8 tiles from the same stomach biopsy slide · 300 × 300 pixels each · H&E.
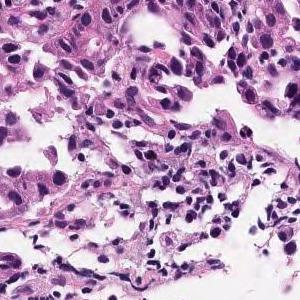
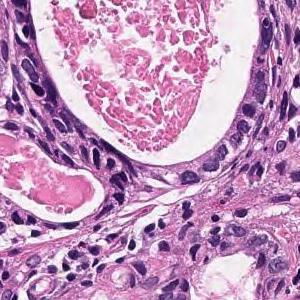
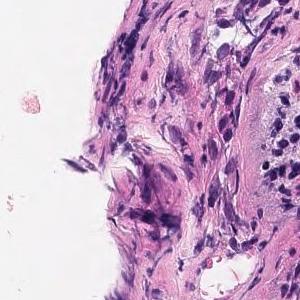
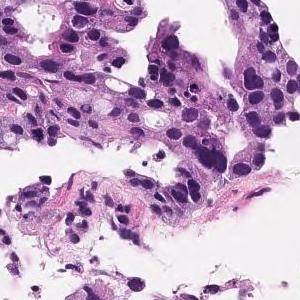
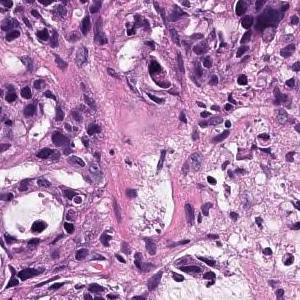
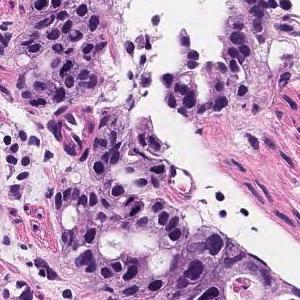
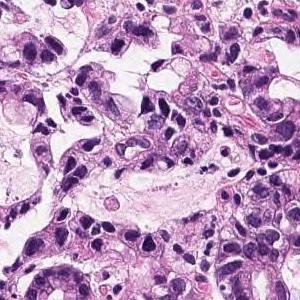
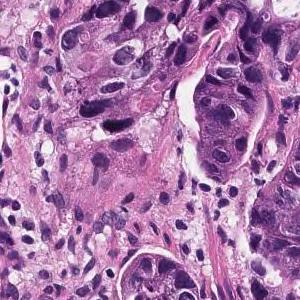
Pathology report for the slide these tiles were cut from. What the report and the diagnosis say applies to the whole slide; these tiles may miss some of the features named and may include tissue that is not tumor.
In the superficial epithelium, tumor tissue that invades by forming medium-sized to small, irregular ducts is observed. Moderately differentiated adenocarcinoma.
Tumor subtype: moderately differentiated tubular adenocarcinoma.
